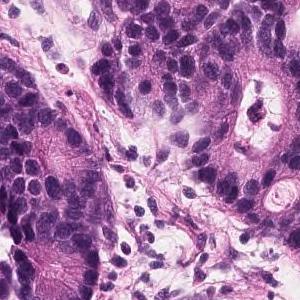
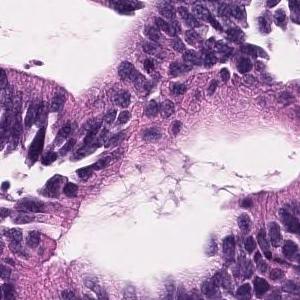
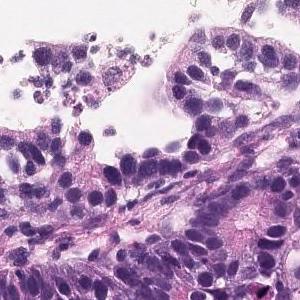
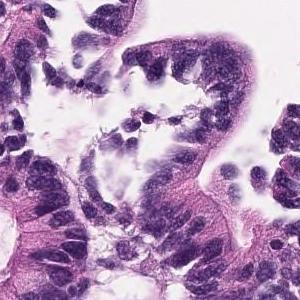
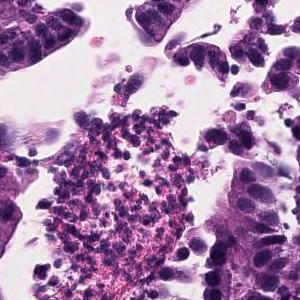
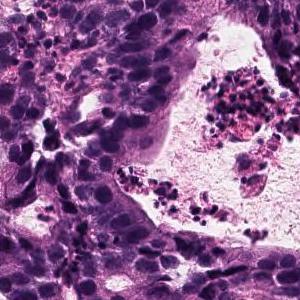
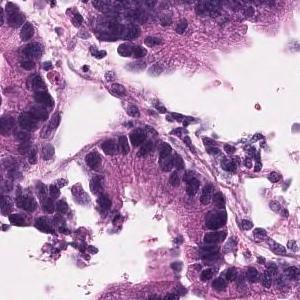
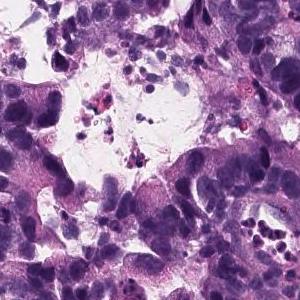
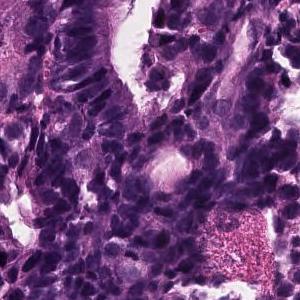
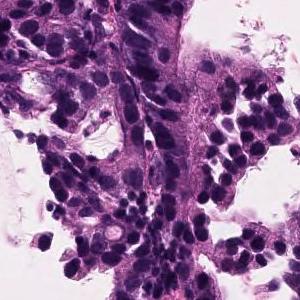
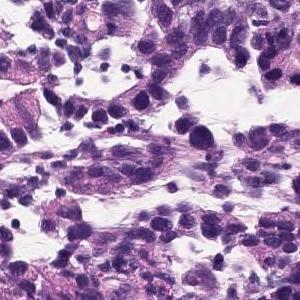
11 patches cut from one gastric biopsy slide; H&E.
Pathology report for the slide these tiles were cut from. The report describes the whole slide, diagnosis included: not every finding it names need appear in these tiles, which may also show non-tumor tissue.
In the superficial epithelium, tumor tissue that invades by forming medium-sized to small, irregular ducts is observed. moderately differentiated tubular adenocarcinoma.
